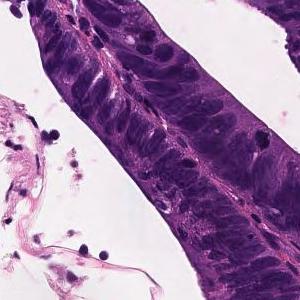
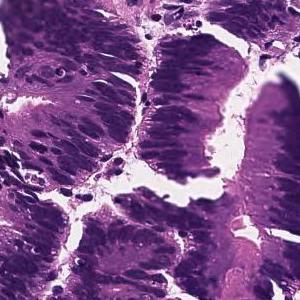
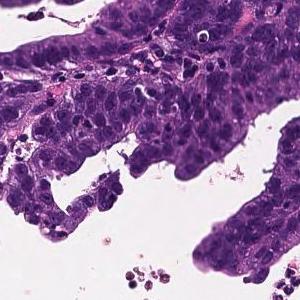
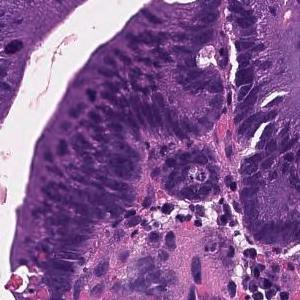
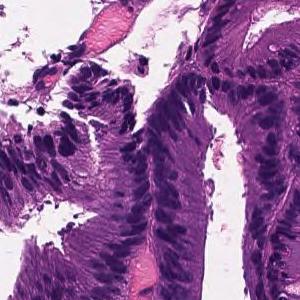
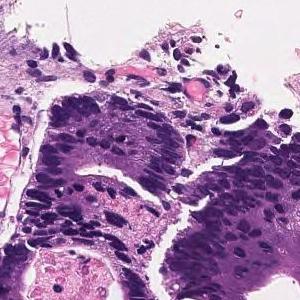
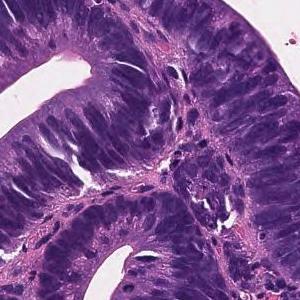
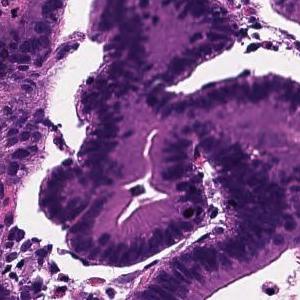
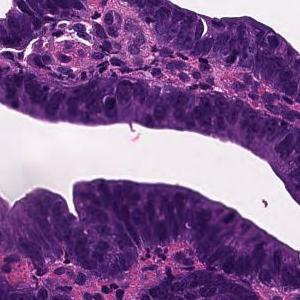
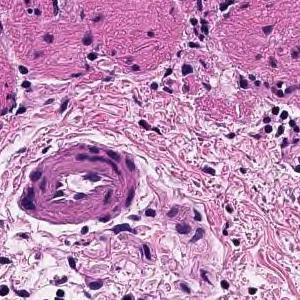
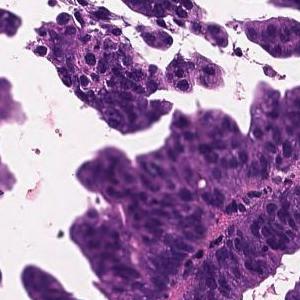
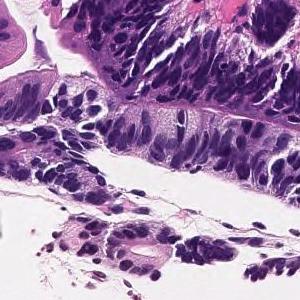
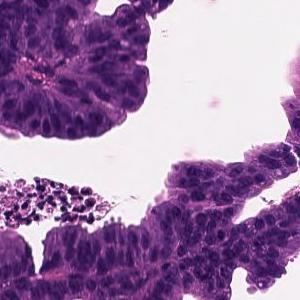
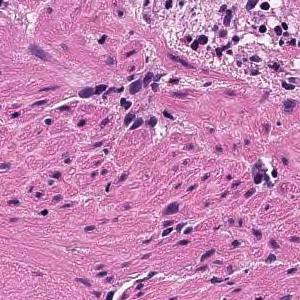
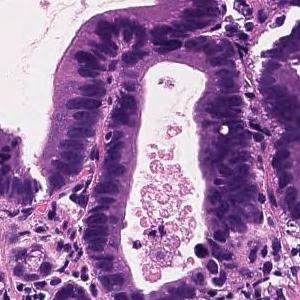
15 patches cut from one gastric biopsy slide; 300×300 px each; H&E stain.
Pathology report for the biopsy slide these tiles were cut from. The report and the diagnosis describe the slide as a whole, so these tiles may not show every feature named and may include non-tumor tissue.
Tumor tissue consisting of large papillary structures is found in the superficial epithelium. Papillary adenocarcinoma.
